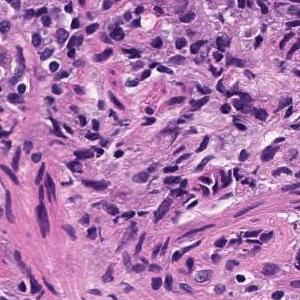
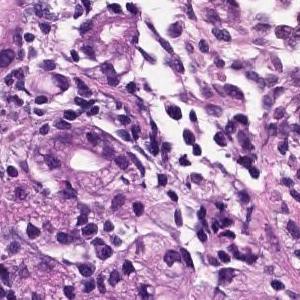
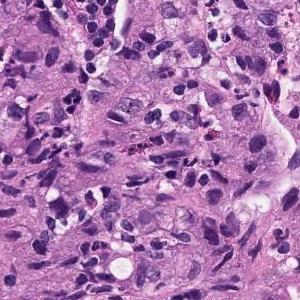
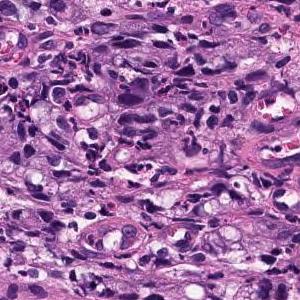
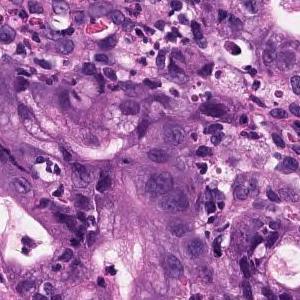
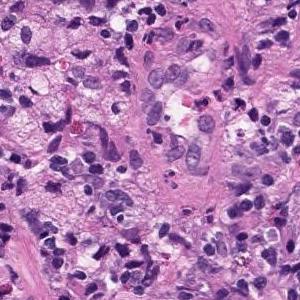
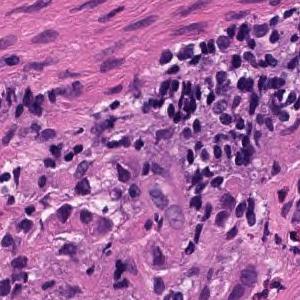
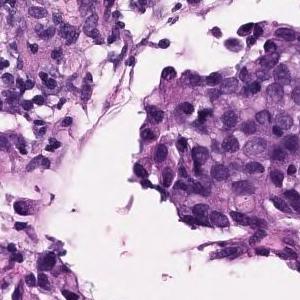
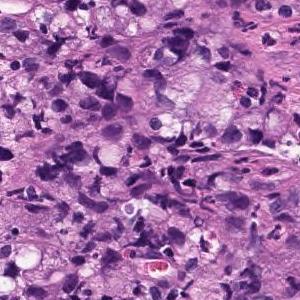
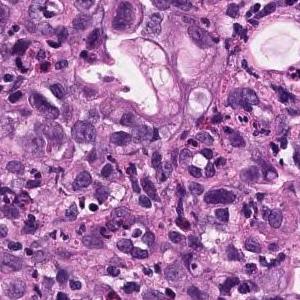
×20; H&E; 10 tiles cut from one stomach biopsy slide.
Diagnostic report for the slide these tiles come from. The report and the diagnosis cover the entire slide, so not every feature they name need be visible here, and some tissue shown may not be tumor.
Atypical epithelium forms irregularly fused gland ducts and proliferates. Poorly differentiated adenocarcinoma.
Subtype: Poorly differentiated adenocarcinoma, non-solid type.
The term "non-solid type" comes from the Japanese Classification of Gastric Carcinoma.
